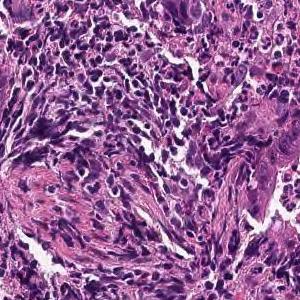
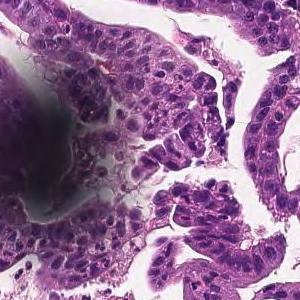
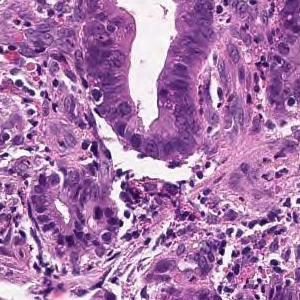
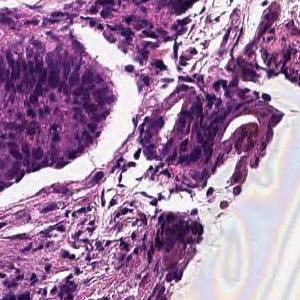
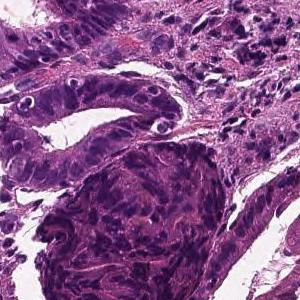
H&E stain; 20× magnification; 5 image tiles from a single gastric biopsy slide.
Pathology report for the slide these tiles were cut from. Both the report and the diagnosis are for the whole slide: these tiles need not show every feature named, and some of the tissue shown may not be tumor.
From the superficial epithelium to the muscularis mucosae, tumor tissue consisting of medium-sized and irregular glandular ducts infiltrating is observed. Well differentiated tubular adenocarcinoma
